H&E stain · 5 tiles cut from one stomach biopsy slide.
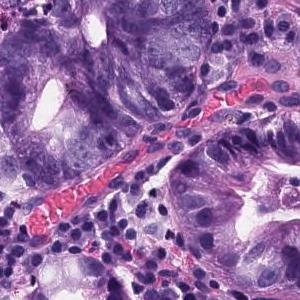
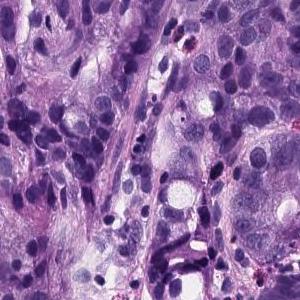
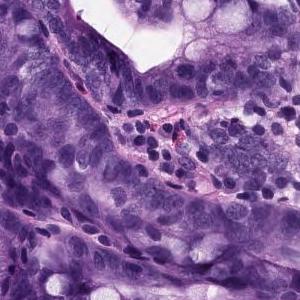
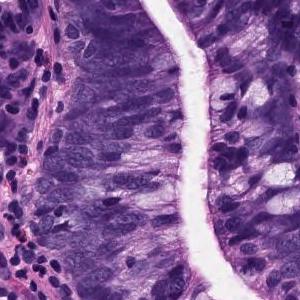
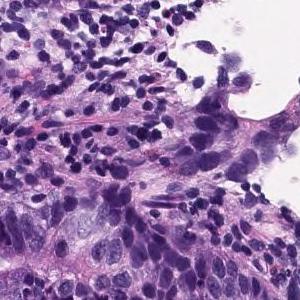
Pathology report for the slide these tiles were cut from. The report describes the whole slide, diagnosis included: not every finding it names need appear in these tiles, which may also show non-tumor tissue.
Tumor cells with strong nuclear atypia proliferate invasively, forming small to medium-sized irregular shaped ducts. moderately differentiated tubular adenocarcinoma
